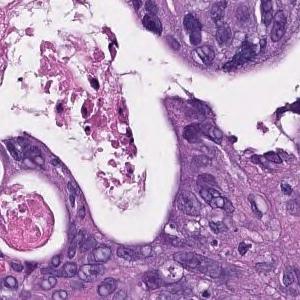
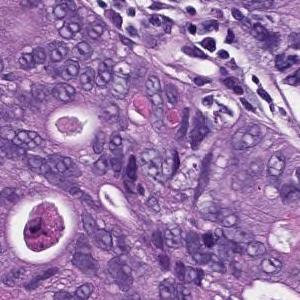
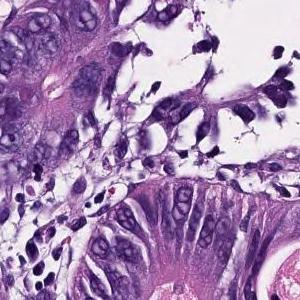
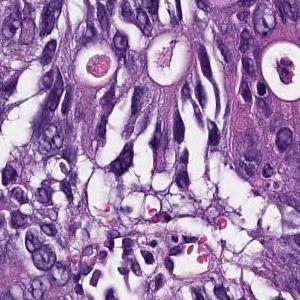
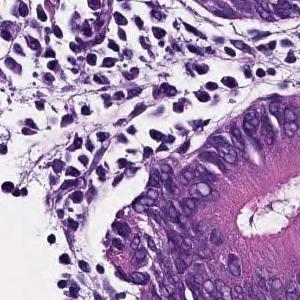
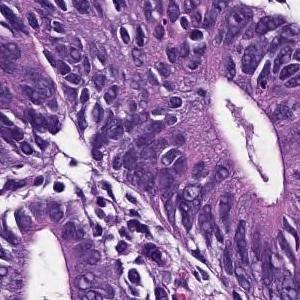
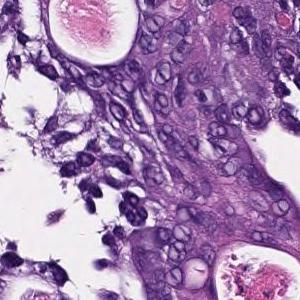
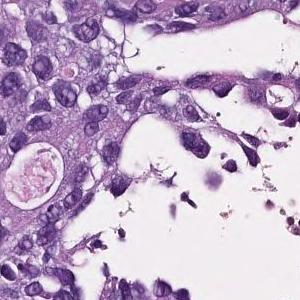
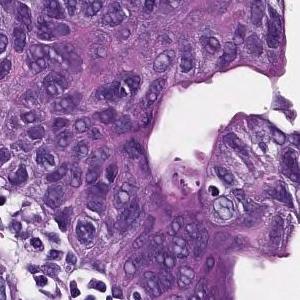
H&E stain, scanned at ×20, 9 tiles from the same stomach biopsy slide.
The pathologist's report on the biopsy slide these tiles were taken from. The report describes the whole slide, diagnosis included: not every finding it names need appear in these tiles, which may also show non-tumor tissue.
In the superficial epithelium, tumor tissue that invades by forming medium-sized to small, irregular ducts is observed. moderately differentiated tubular adenocarcinoma.
